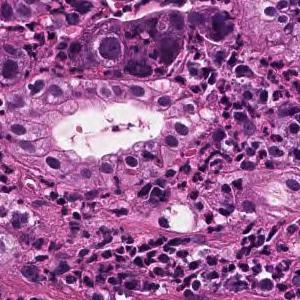
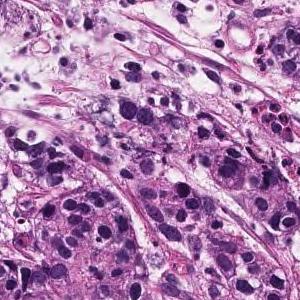
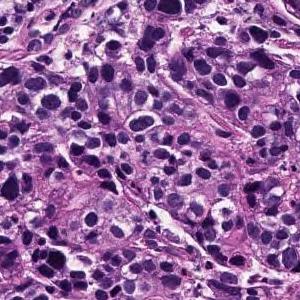
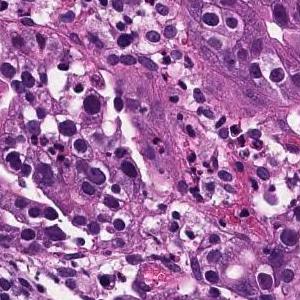
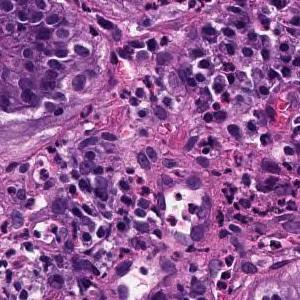
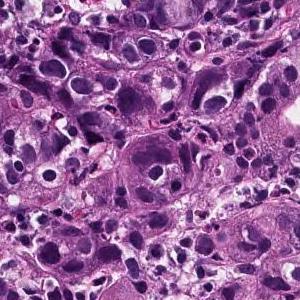
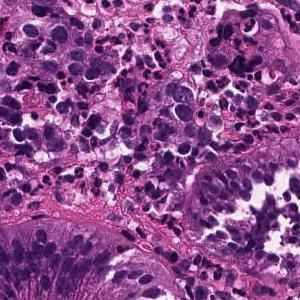
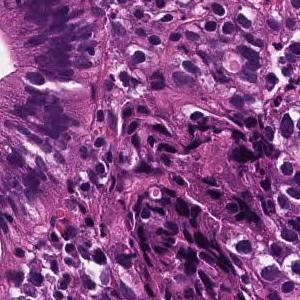
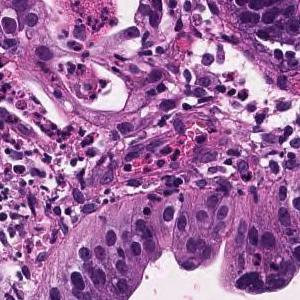
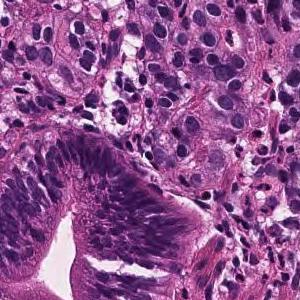
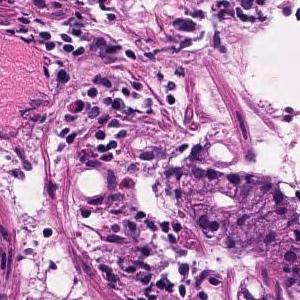
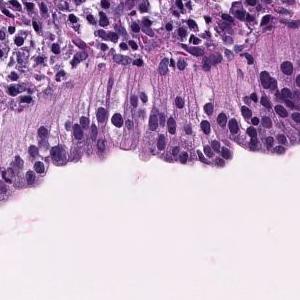
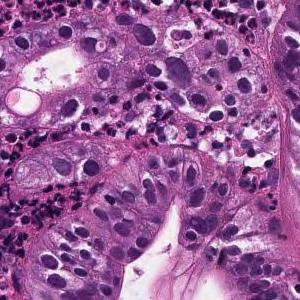
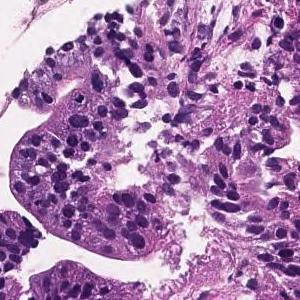
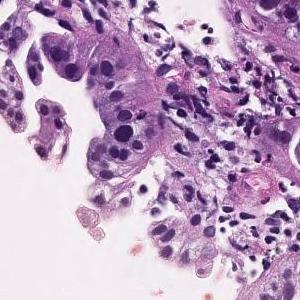
Scanned at ×20 · 15 tiles cut from one stomach biopsy slide · 300 × 300 pixels each.
Report on the slide these tiles come from. Both the report and the diagnosis are for the whole slide: these tiles need not show every feature named, and some of the tissue shown may not be tumor.
In the superficial epithelium, tumor tissue that invades by forming medium-sized to small, irregular ducts is observed. moderately differentiated tubular adenocarcinoma.
